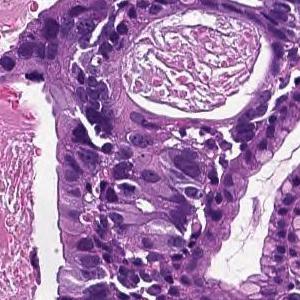
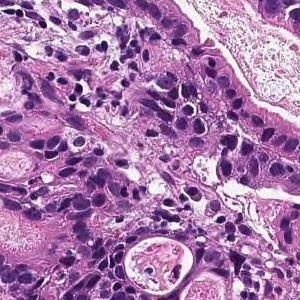
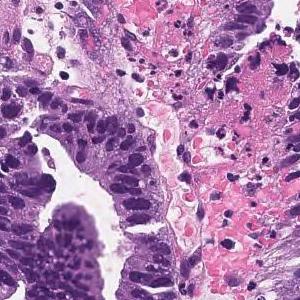
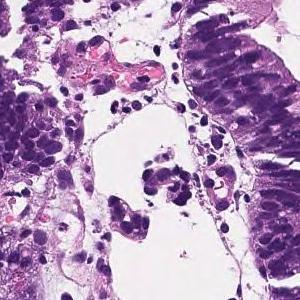
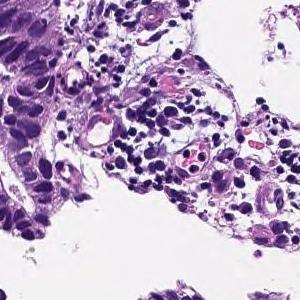
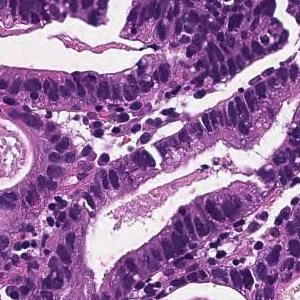
Scanned at ×20 · H&E · 6 tiles from the same stomach biopsy slide · each 300 × 300 pixels.
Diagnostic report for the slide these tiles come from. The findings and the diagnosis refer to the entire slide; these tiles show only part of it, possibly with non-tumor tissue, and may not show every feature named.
In the superficial epithelium, tumor tissue that invades by forming medium-sized to small, irregular ducts is observed. moderately differentiated tubular adenocarcinoma.
